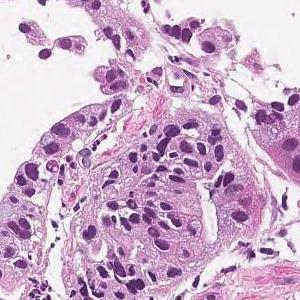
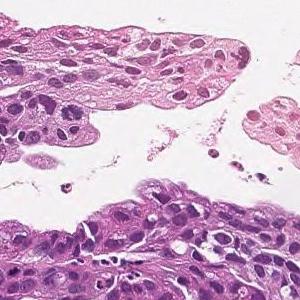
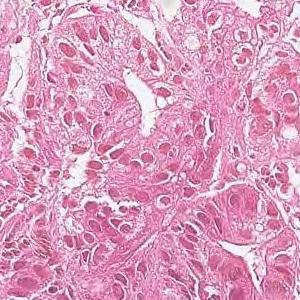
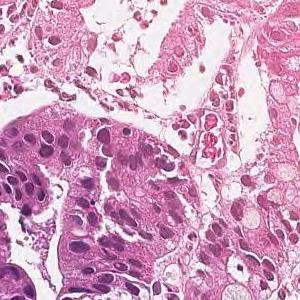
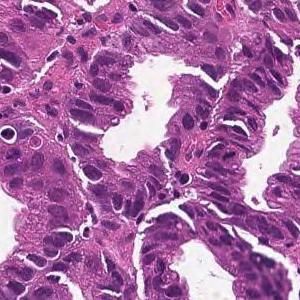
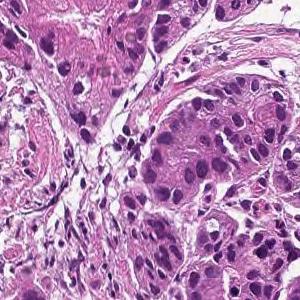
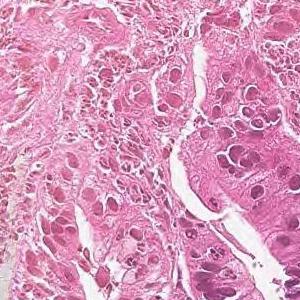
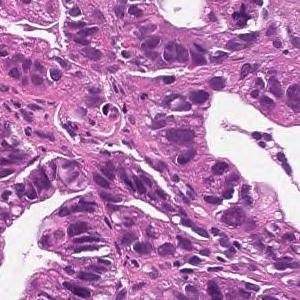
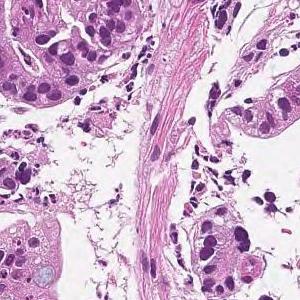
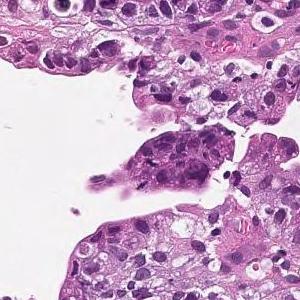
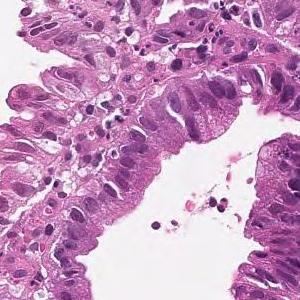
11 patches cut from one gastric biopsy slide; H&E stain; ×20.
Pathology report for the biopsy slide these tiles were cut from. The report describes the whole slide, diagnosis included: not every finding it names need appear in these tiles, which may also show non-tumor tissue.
On the superficial epithelium, tumor tissue that infiltrates by forming medium-sized papillary or small irregular ducts is observed. Papillary adenocarcinoma
